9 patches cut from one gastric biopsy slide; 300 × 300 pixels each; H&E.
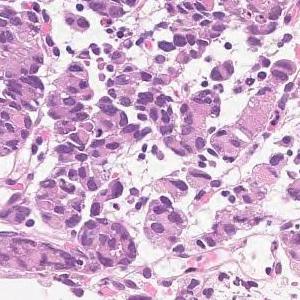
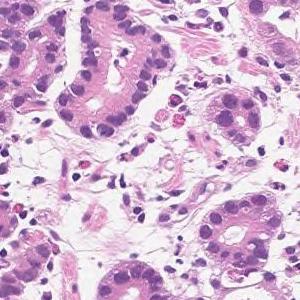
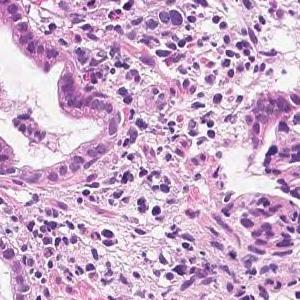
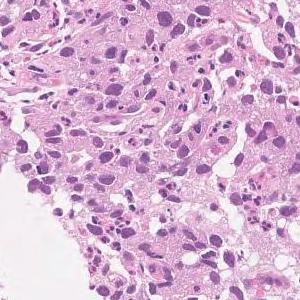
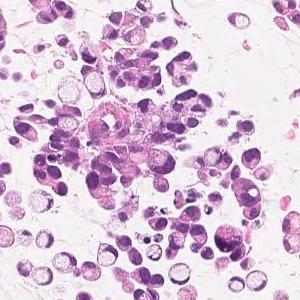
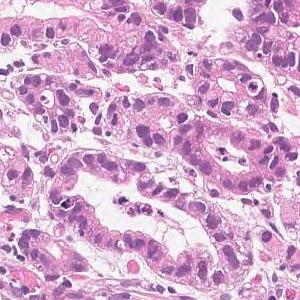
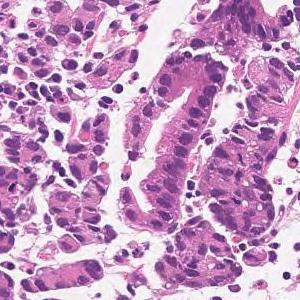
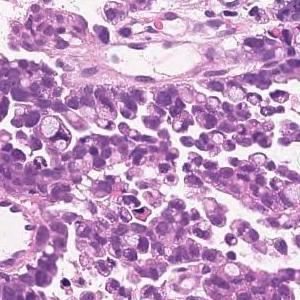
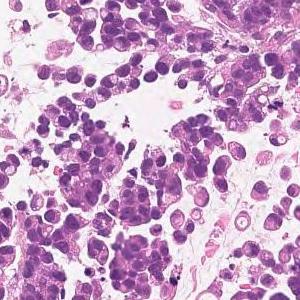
Pathology report for the biopsy slide these tiles were cut from. The report describes the whole slide, diagnosis included: not every finding it names need appear in these tiles, which may also show non-tumor tissue.
Medium to small, irregular glandular ducts are formed in the superficial epithelium, and in some cases, the glandular ducts are fused to show solid alveolar lesions and infiltrating tumor tissue is observed. Moderately to poorly differentiated adenocarcinoma.
